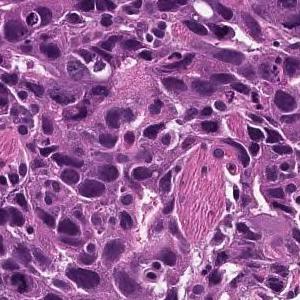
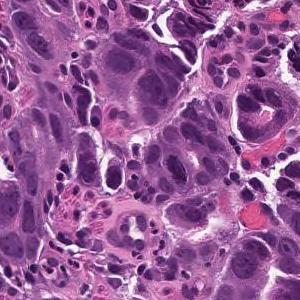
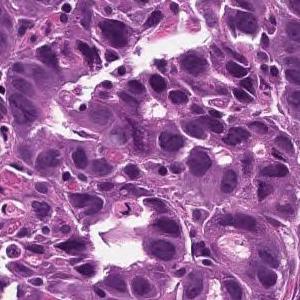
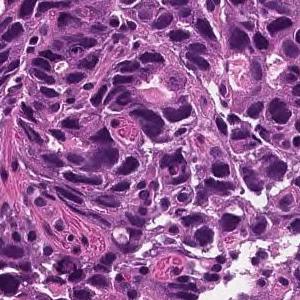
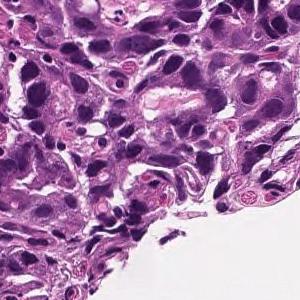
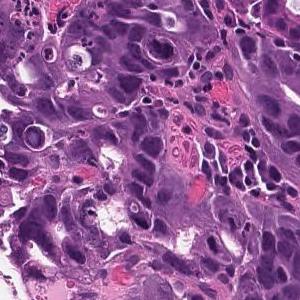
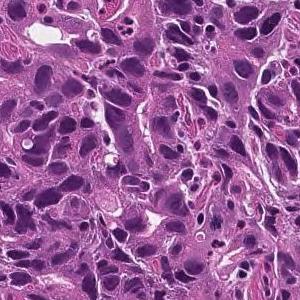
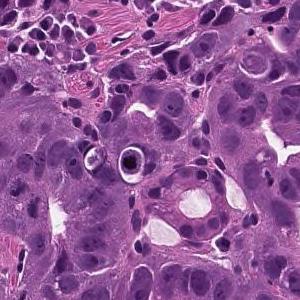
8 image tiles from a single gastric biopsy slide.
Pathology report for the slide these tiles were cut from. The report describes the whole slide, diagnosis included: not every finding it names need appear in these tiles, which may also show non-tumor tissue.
On the superficial epithelium, tumor tissue is found in which medium-sized irregular gland ducts fuse with each other and infiltrate. moderately differentiated tubular adenocarcinoma
